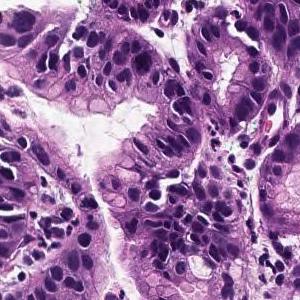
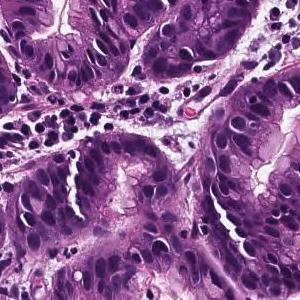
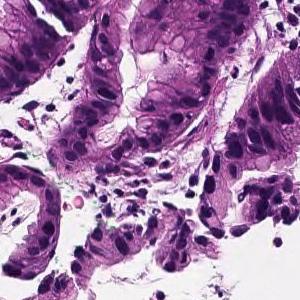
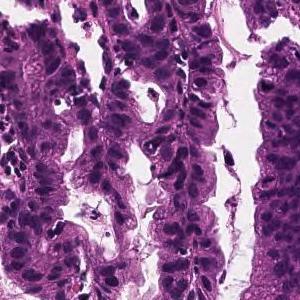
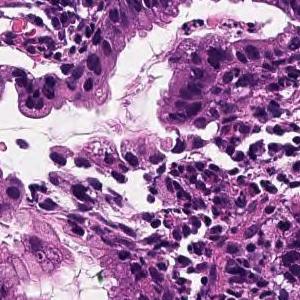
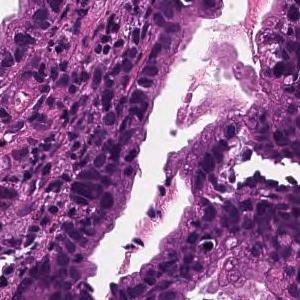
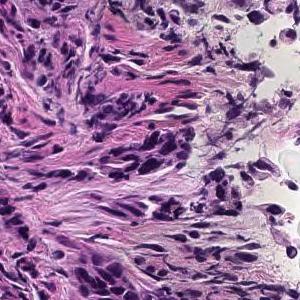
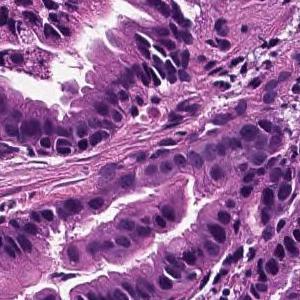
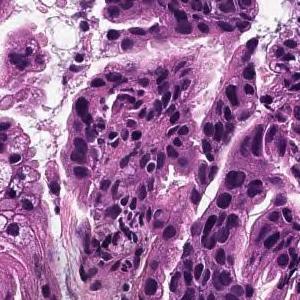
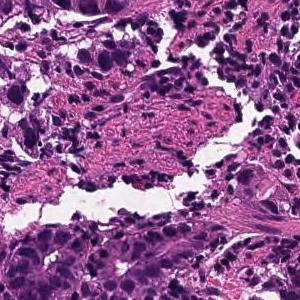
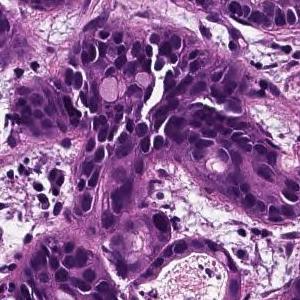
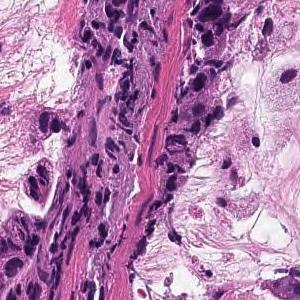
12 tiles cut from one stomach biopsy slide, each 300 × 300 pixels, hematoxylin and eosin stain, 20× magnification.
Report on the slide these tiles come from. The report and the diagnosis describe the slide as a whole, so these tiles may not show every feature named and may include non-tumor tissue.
Tumor cells are large, highly columnar, large club-shaped nuclei, and are associated with chromatin aggregation. Papillary adenocarcinoma.
